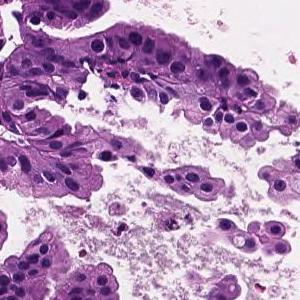
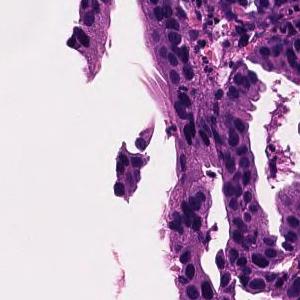
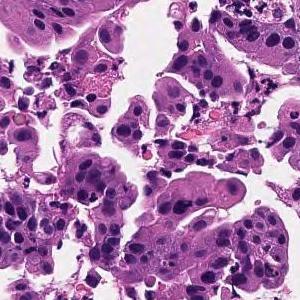
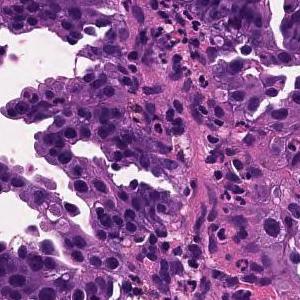
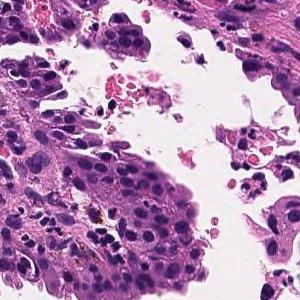
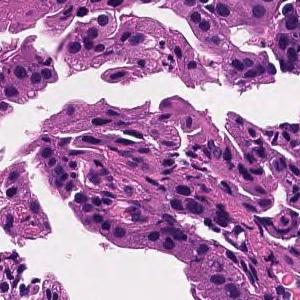
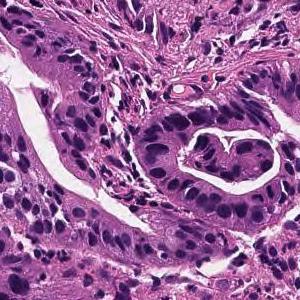
H&E stain · scanned at ×20 · 7 tiles from the same stomach biopsy slide.
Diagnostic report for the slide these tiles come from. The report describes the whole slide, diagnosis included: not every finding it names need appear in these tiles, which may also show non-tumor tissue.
On the superficial epithelium, tumor tissue consisting of large, irregular glandular ducts partially fused and infiltrated is observed. Well to moderately differentiated tubular adenocarcinoma (well differentiated tubular adenocarcinoma, moderately differentiated tubular adenocarcinoma)
Subtype: Well to moderately differentiated tubular adenocarcinoma.
